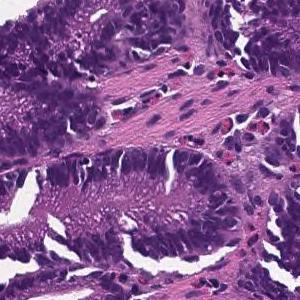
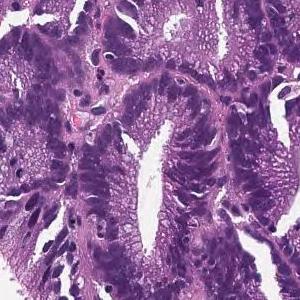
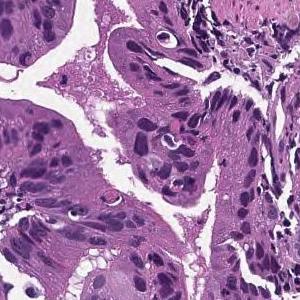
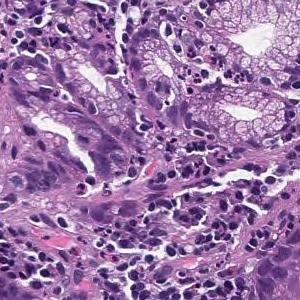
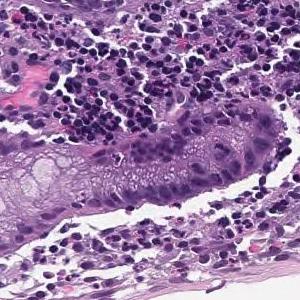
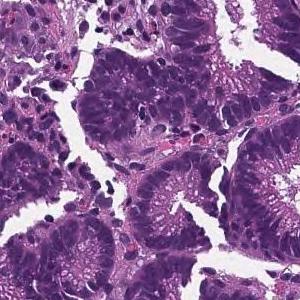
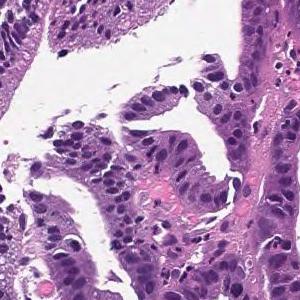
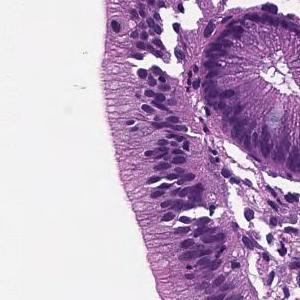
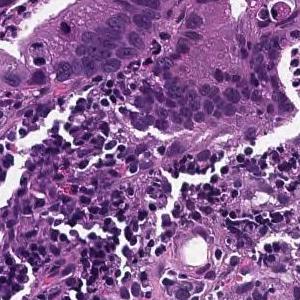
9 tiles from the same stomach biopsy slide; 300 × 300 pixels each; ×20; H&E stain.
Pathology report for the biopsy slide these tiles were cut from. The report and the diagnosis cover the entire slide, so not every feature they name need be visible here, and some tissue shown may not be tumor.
From the superficial epithelium to the muscularis mucosae, tumor tissue consisting of medium-sized and irregular glandular ducts infiltrating is observed. Well differentiated tubular adenocarcinoma
